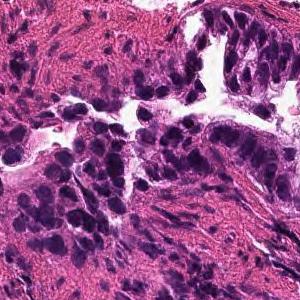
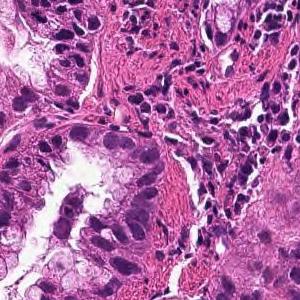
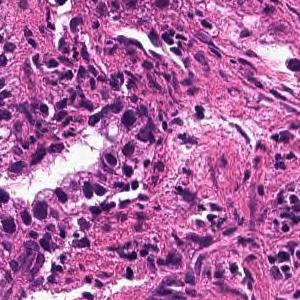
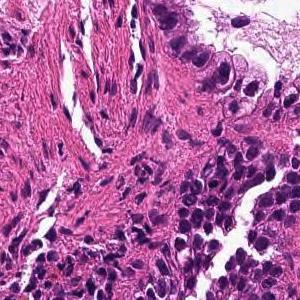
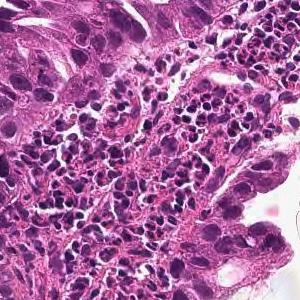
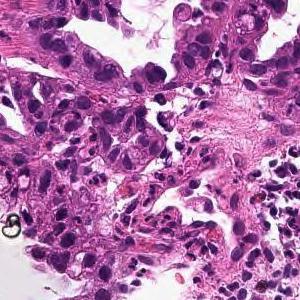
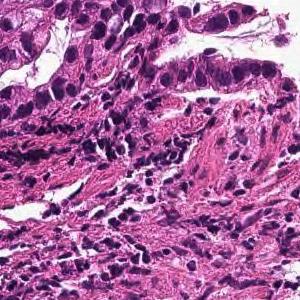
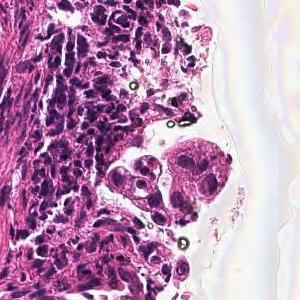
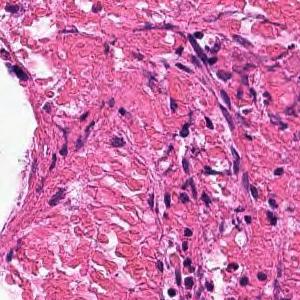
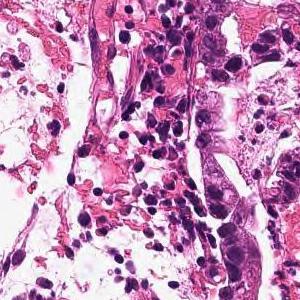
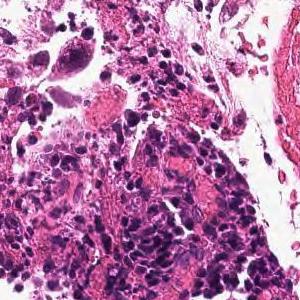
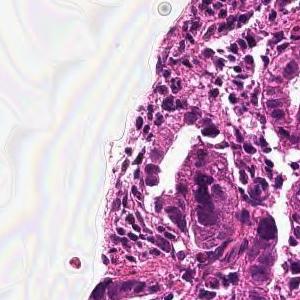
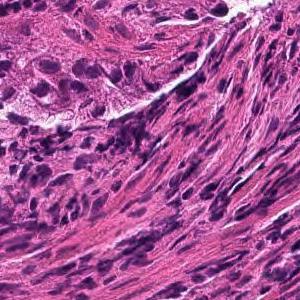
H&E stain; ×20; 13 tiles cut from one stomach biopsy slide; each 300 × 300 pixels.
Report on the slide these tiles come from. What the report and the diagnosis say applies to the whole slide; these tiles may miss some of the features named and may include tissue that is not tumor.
From the superficial epithelium to the muscularis mucosae, tumor tissue infiltrating by forming medium-sized irregular gland ducts is observed. Well differentiated tubular adenocarcinoma
